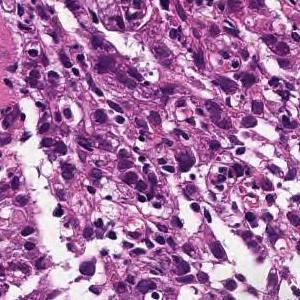
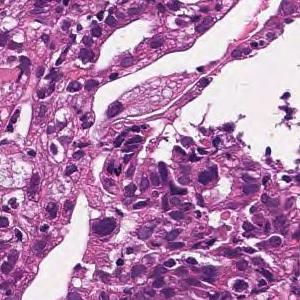
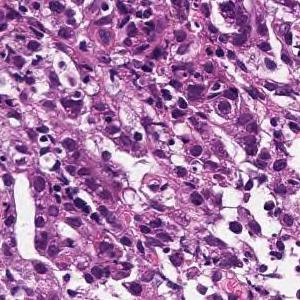
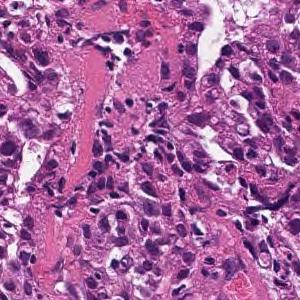
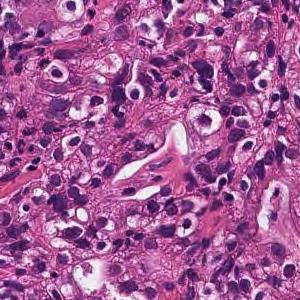
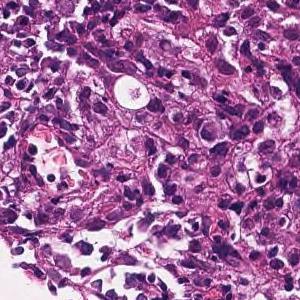
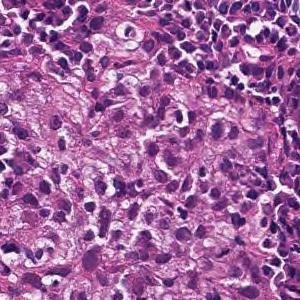
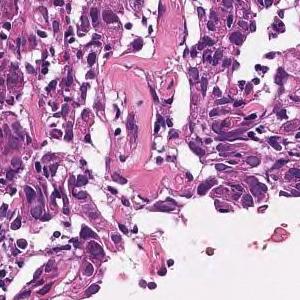
H&E · 8 tiles cut from one stomach biopsy slide.
The pathologist's report on the biopsy slide these tiles were taken from. The report describes the whole slide, diagnosis included: not every finding it names need appear in these tiles, which may also show non-tumor tissue.
Tumor tissue consisting of cord-like or small, irregular glandular ducts fused and infiltrated is observed in the superficial epithelium. Poorly differentiated adenocarcinoma, non-solid type
The non-solid type named here is a Japanese Classification of Gastric Carcinoma category.
